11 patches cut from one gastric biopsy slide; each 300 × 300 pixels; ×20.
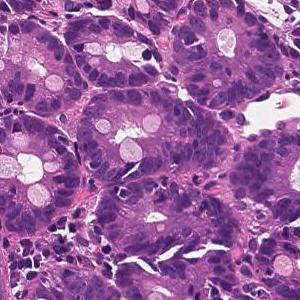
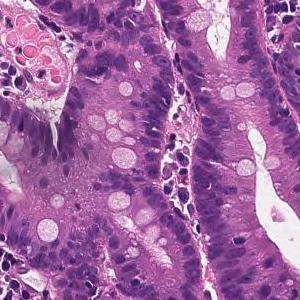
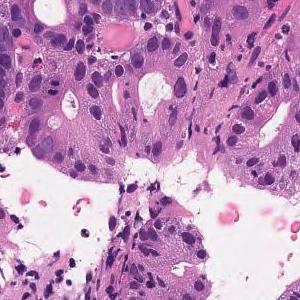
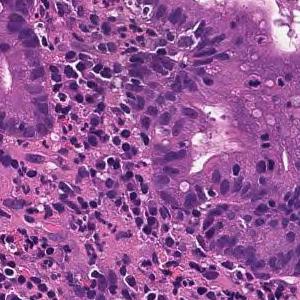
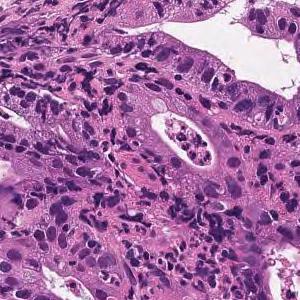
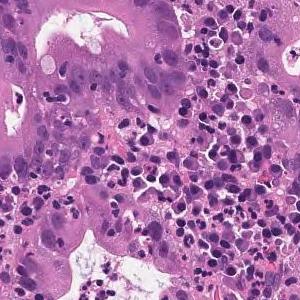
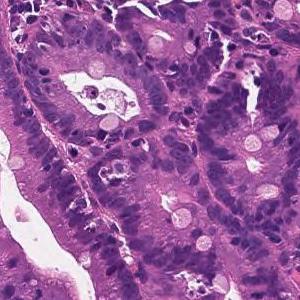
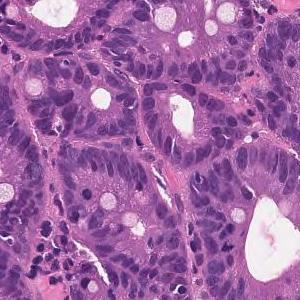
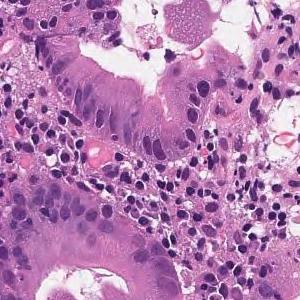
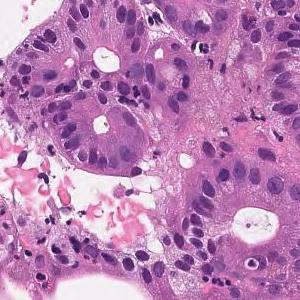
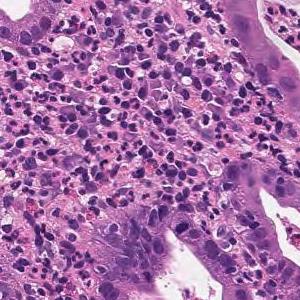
Diagnostic report for the slide these tiles come from. The report and the diagnosis cover the entire slide, so not every feature they name need be visible here, and some tissue shown may not be tumor.
From the superficial epithelium to the muscularis mucosae, tumor tissue consisting of medium-sized and irregular glandular ducts infiltrating is observed. Well differentiated tubular adenocarcinoma
